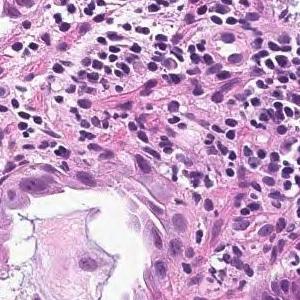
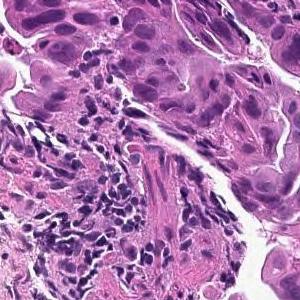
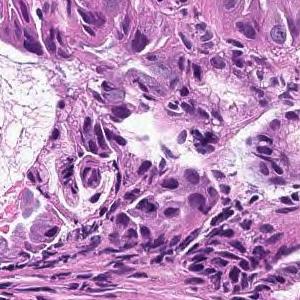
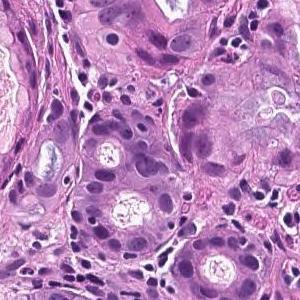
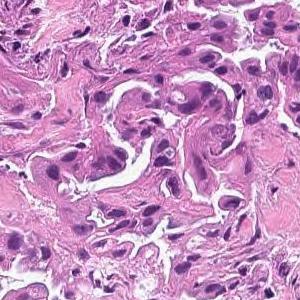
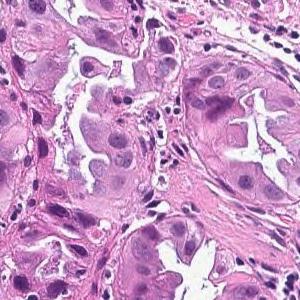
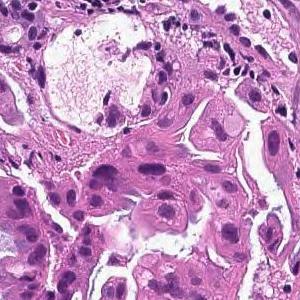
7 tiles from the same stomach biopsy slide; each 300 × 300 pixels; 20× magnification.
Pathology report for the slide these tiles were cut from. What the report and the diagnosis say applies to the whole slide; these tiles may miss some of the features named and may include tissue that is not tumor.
From the superficial epithelium to the muscularis mucosae, tumor tissue consisting of medium-sized and irregular glandular ducts infiltrating is observed. Well differentiated tubular adenocarcinoma
